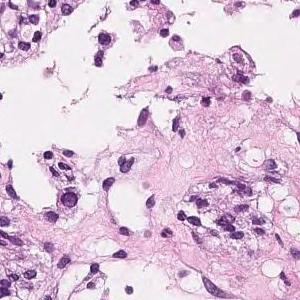
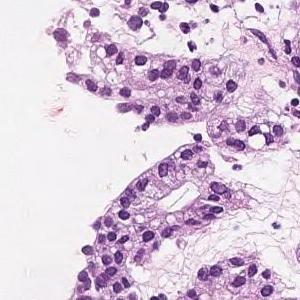
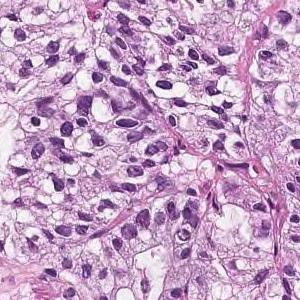
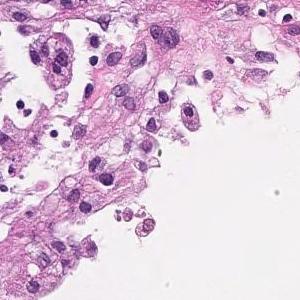
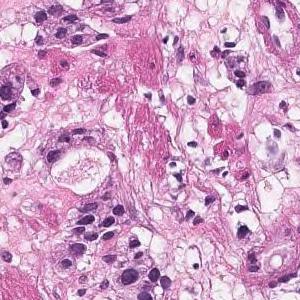
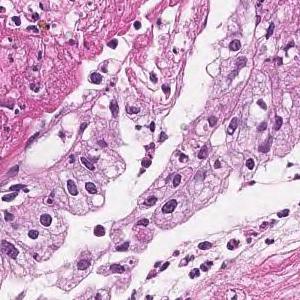
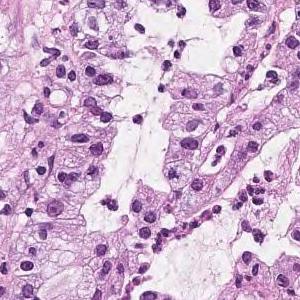
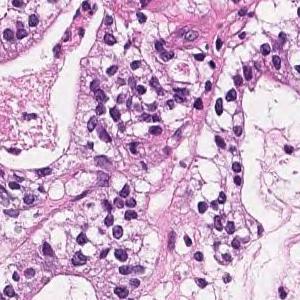
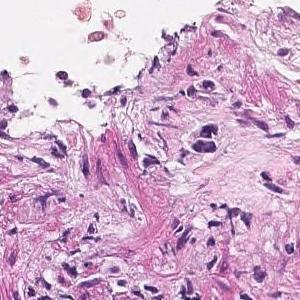
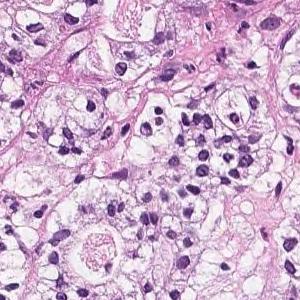
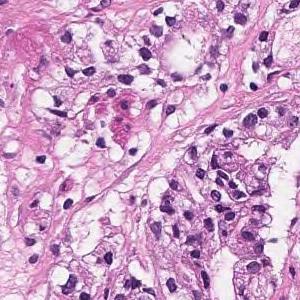
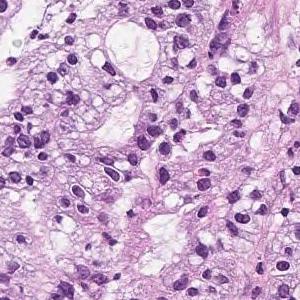
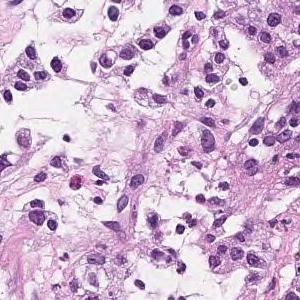
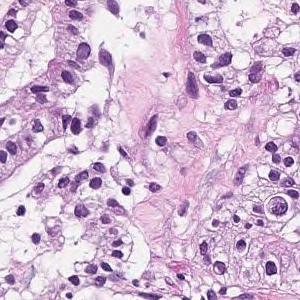
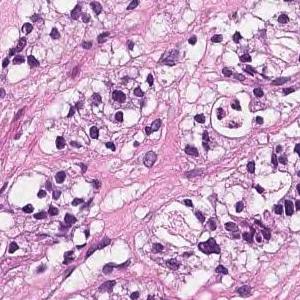
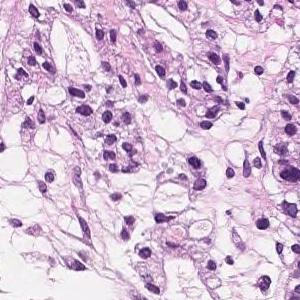
H&E · ×20 · 16 tiles cut from one stomach biopsy slide · 300 × 300 pixels each.
Diagnostic report for the slide these tiles come from. The findings and the diagnosis refer to the entire slide; these tiles show only part of it, possibly with non-tumor tissue, and may not show every feature named.
In the superficial epithelium, tumor tissue that invades by forming medium-sized to small, irregular ducts is observed. moderately differentiated tubular adenocarcinoma.
